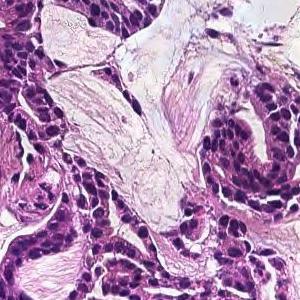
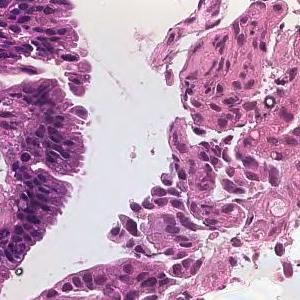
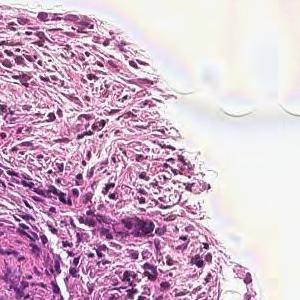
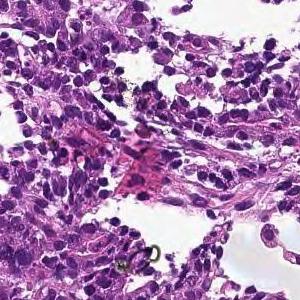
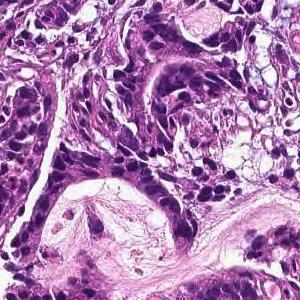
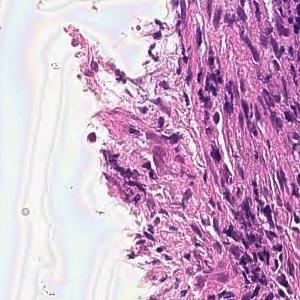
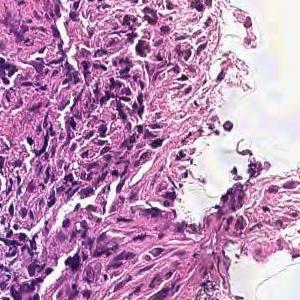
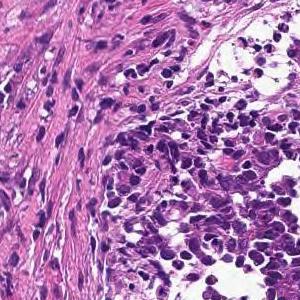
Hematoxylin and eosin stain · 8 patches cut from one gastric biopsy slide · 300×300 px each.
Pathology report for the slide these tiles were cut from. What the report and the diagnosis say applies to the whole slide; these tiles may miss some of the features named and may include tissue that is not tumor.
In the superficial epithelium, tumor tissue that invades by forming medium-sized to small, irregular ducts is observed. moderately differentiated tubular adenocarcinoma.
